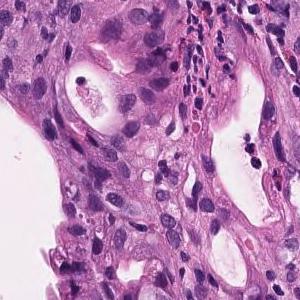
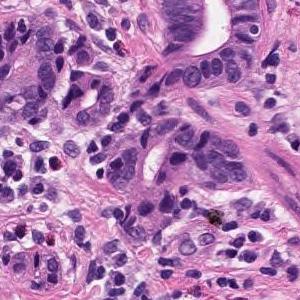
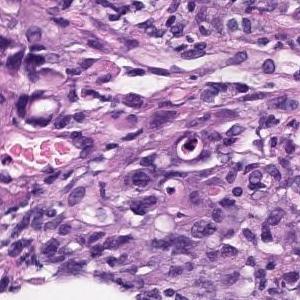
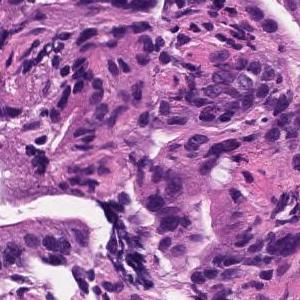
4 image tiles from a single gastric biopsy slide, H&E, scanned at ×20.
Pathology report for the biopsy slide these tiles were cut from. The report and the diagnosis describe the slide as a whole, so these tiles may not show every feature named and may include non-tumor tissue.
moderately differentiated tubular adenocarcinoma, Poorly differentiated adenocarcinoma
The dataset labels this slide poorly differentiated adenocarcinoma, solid type, a category of the Japanese Classification of Gastric Carcinoma; in the WHO 2019 classification it is tubular adenocarcinoma, poorly differentiated.
